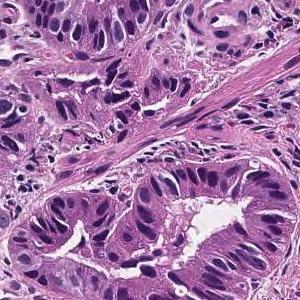
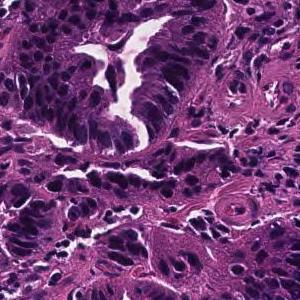
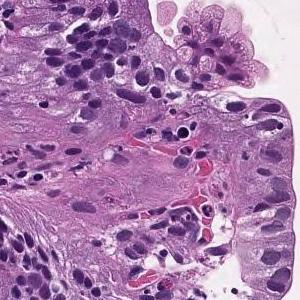
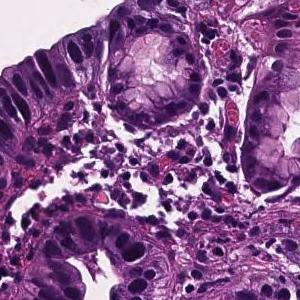
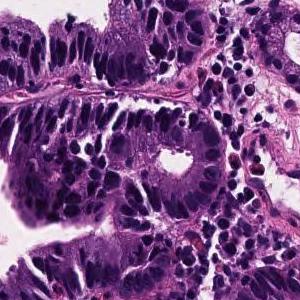
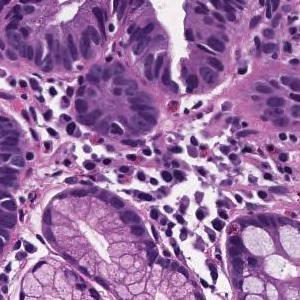
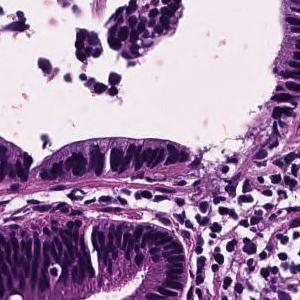
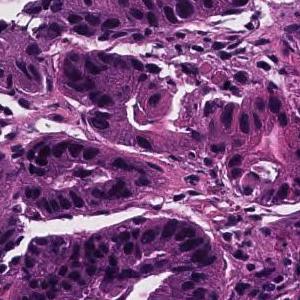
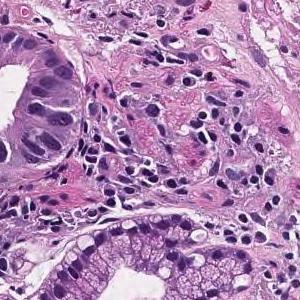
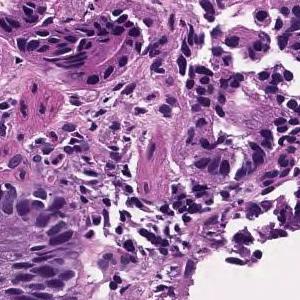
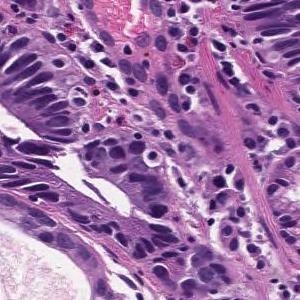
Scanned at ×20; hematoxylin and eosin stain; 11 tiles from the same stomach biopsy slide; 300 × 300 pixels each.
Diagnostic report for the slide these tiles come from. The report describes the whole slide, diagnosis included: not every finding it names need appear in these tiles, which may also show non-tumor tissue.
Tumor cells are large, highly columnar, large club-shaped nuclei, and are associated with chromatin aggregation. Papillary adenocarcinoma.
